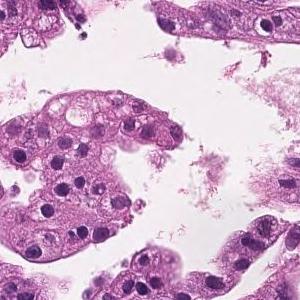
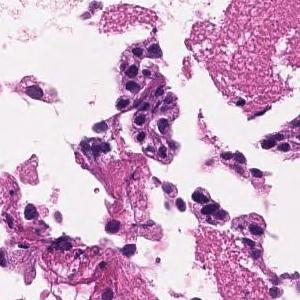
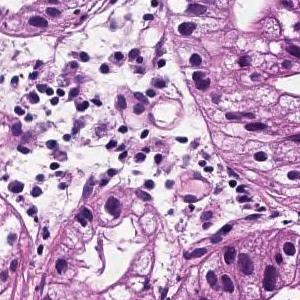
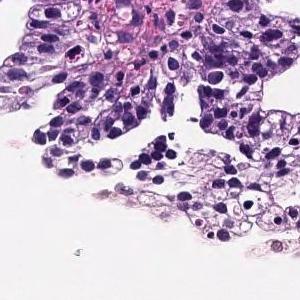
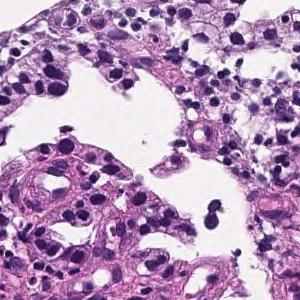
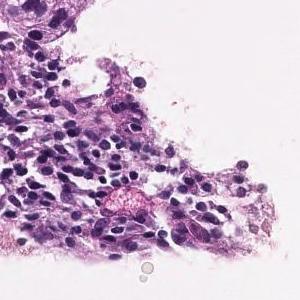
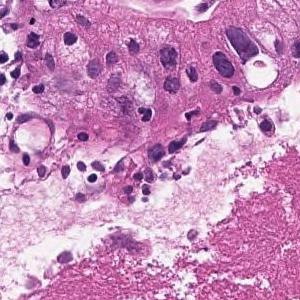
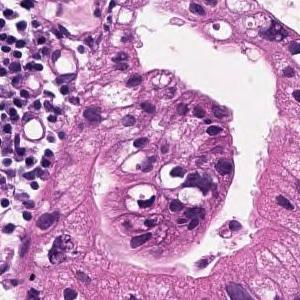
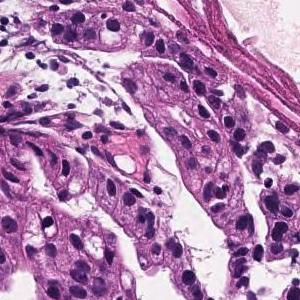
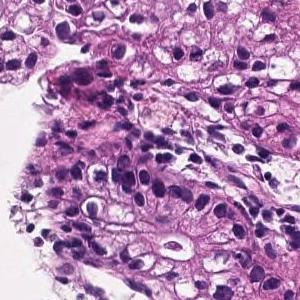
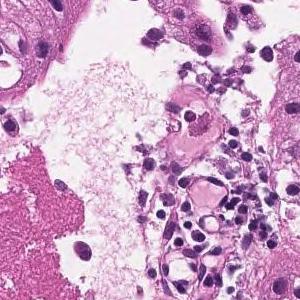
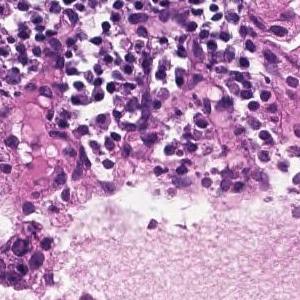
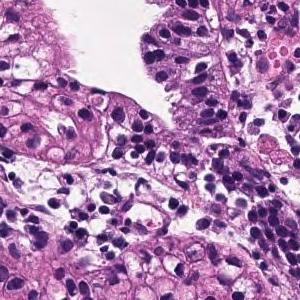
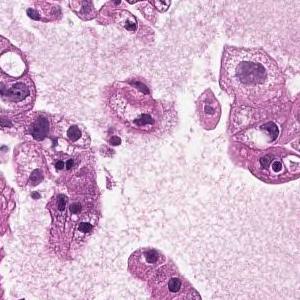
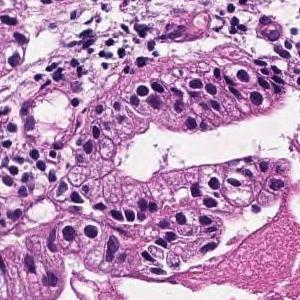
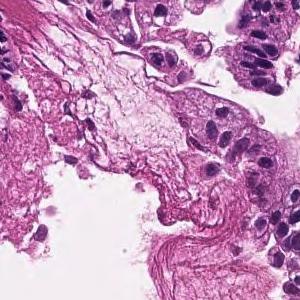
Hematoxylin and eosin stain, 16 tiles from the same stomach biopsy slide, 300×300 px each.
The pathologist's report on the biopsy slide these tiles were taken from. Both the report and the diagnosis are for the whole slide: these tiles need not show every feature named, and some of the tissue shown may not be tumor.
On the superficial epithelium, tumor tissue that infiltrates by forming medium-sized papillary or small irregular ducts is observed. Papillary adenocarcinoma
